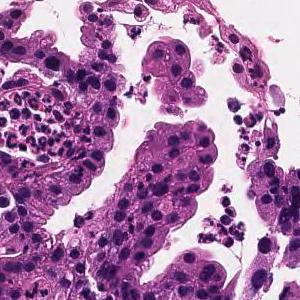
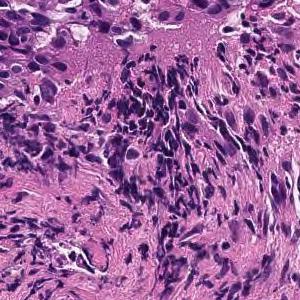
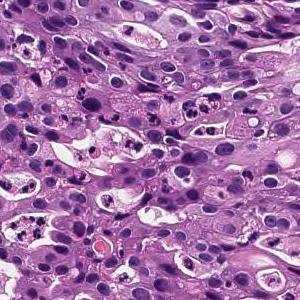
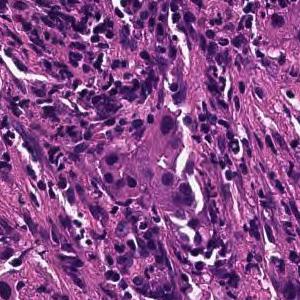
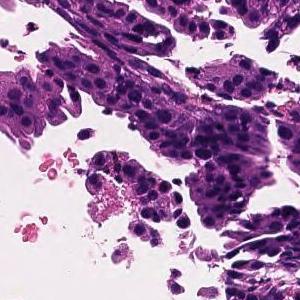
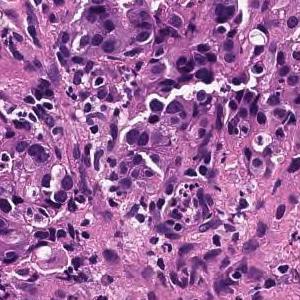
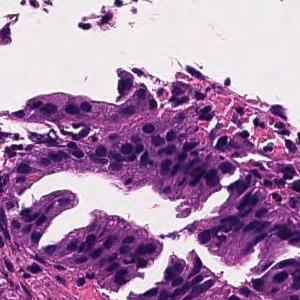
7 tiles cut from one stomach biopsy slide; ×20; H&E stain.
Pathology report for the slide these tiles were cut from. The report and the diagnosis describe the slide as a whole, so these tiles may not show every feature named and may include non-tumor tissue.
On the superficial epithelium, tumor tissue consisting of large, irregular glandular ducts partially fused and infiltrated is observed. Well to moderately differentiated tubular adenocarcinoma (well differentiated tubular adenocarcinoma, moderately differentiated tubular adenocarcinoma)
Tumor subtype: well to moderately differentiated tubular adenocarcinoma.
